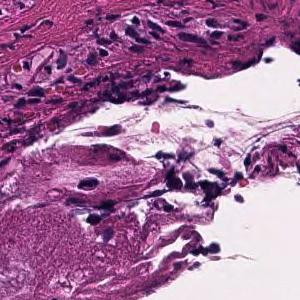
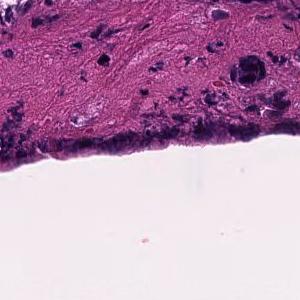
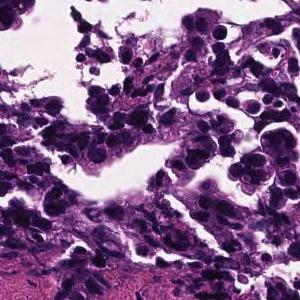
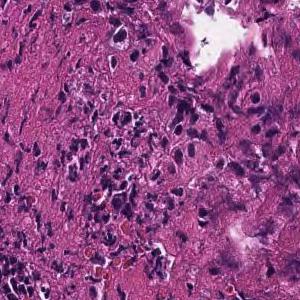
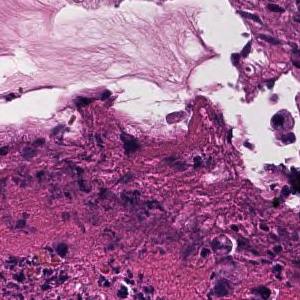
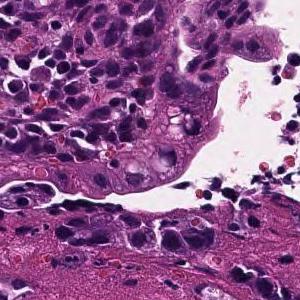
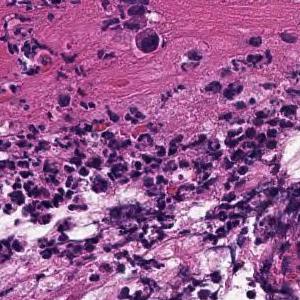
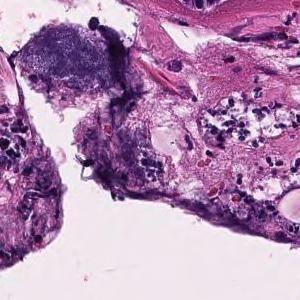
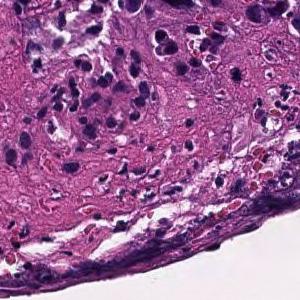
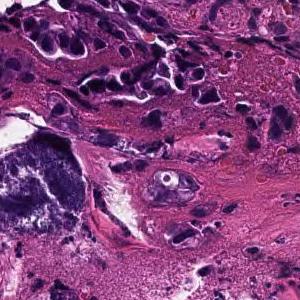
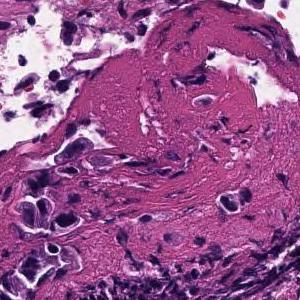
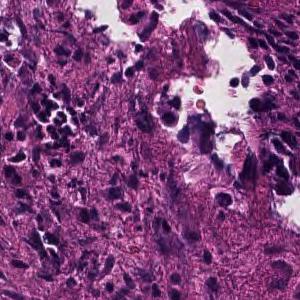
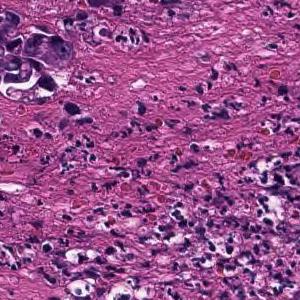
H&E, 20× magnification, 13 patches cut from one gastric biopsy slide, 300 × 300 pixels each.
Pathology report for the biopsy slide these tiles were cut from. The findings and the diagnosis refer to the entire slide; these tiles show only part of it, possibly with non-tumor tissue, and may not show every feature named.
Tumor tissue consisting of cord-like or small, irregular glandular ducts fused and infiltrated is observed in the superficial epithelium. Poorly differentiated adenocarcinoma, non-solid type
"Non-solid type" is a category of the Japanese Classification of Gastric Carcinoma.
